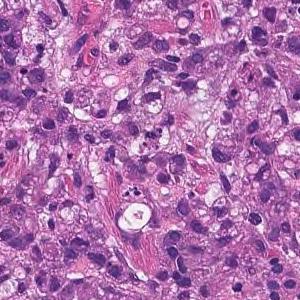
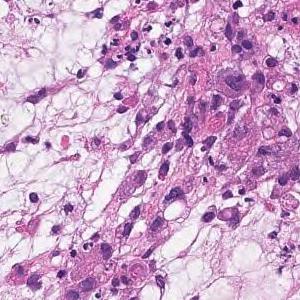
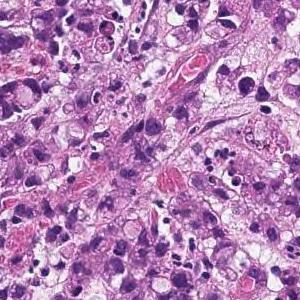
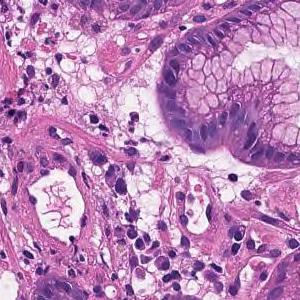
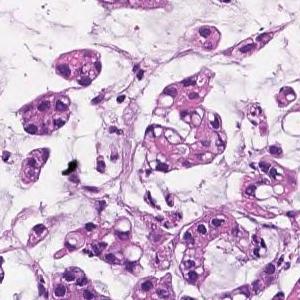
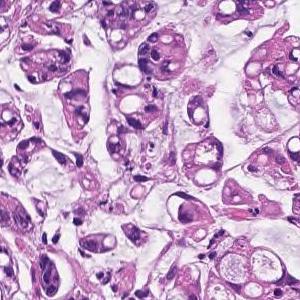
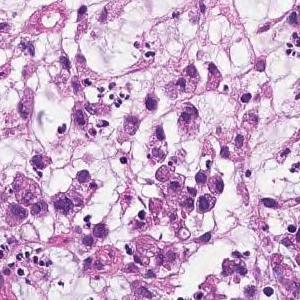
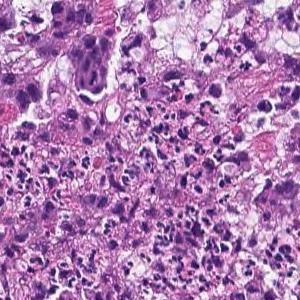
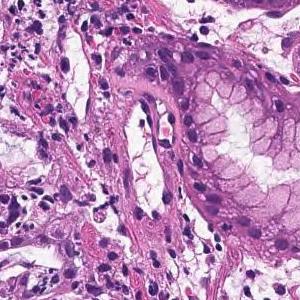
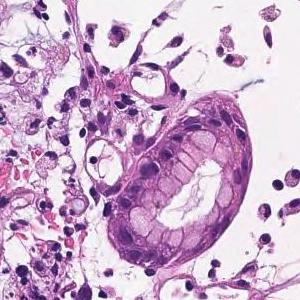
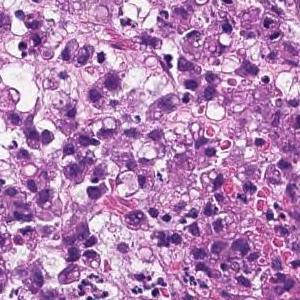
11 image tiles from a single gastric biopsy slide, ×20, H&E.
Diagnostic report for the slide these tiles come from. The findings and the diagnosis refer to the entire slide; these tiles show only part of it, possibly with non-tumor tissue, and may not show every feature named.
Tumor tissue consisting of cord-like or small, irregular glandular ducts fused and infiltrated is observed in the superficial epithelium. Poorly differentiated adenocarcinoma, non-solid type
The term "non-solid type" comes from the Japanese Classification of Gastric Carcinoma.
